5 tiles from the same stomach biopsy slide; hematoxylin and eosin stain.
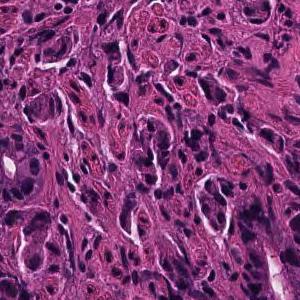
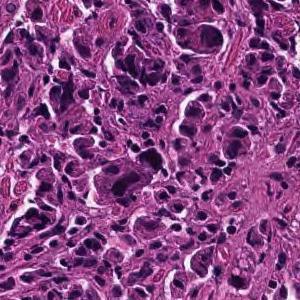
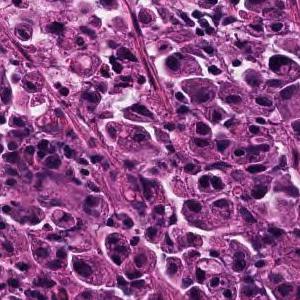
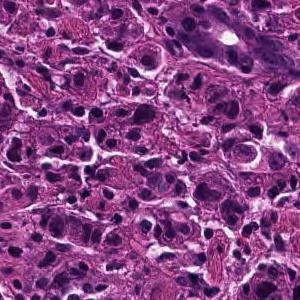
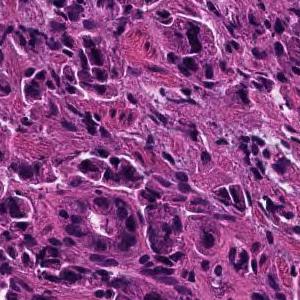
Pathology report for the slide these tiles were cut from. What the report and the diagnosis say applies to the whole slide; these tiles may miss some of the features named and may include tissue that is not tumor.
Tumor tissue consisting of cord-like or small, irregular glandular ducts fused and infiltrated is observed in the superficial epithelium. Poorly differentiated adenocarcinoma, non-solid type
The non-solid type named here is a Japanese Classification of Gastric Carcinoma category.
